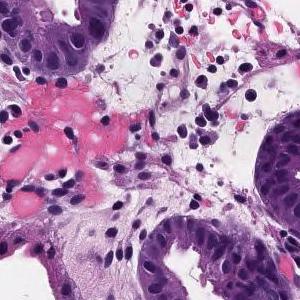
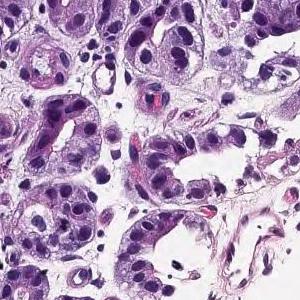
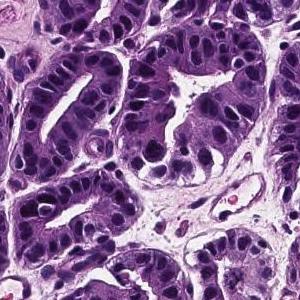
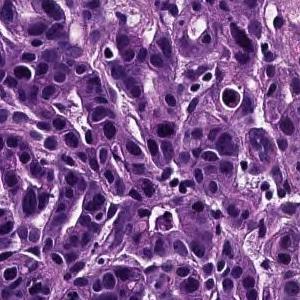
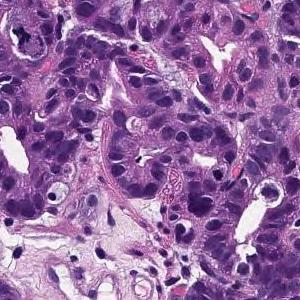
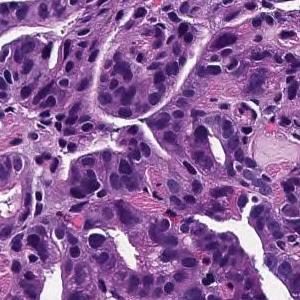
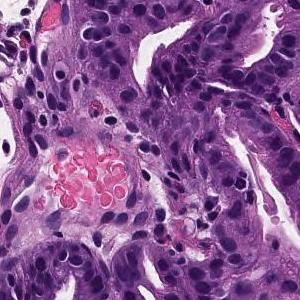
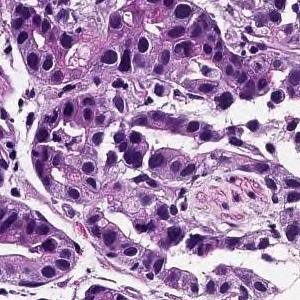
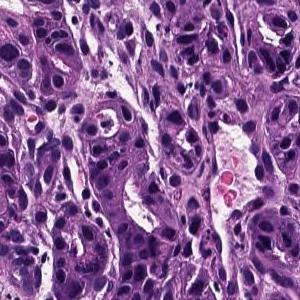
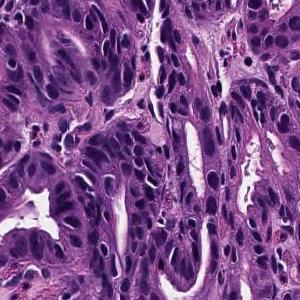
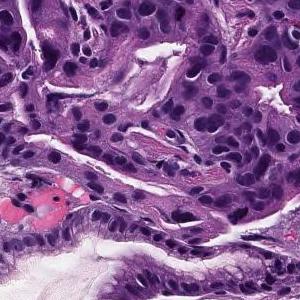
×20; hematoxylin and eosin stain; 11 tiles cut from one stomach biopsy slide; 300 × 300 pixels each.
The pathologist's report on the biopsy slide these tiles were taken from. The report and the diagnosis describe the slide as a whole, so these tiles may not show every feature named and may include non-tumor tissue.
From the superficial epithelium to the muscularis mucosae, tumor tissue consisting of medium-sized and irregular glandular ducts infiltrating is observed. Well differentiated tubular adenocarcinoma
